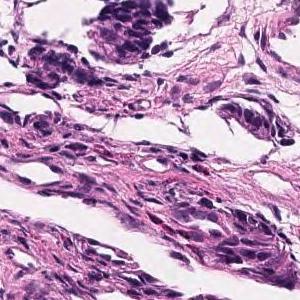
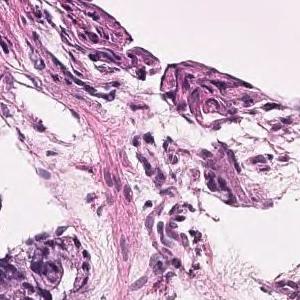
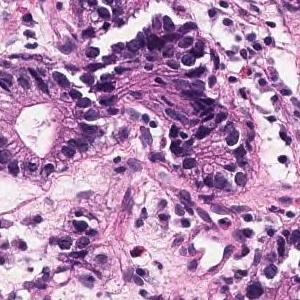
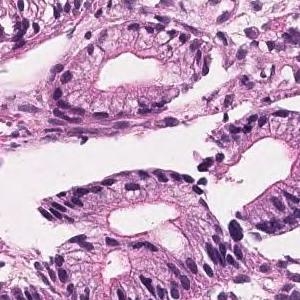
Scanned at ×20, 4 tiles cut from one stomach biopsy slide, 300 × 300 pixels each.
Pathology report for the slide these tiles were cut from. What the report and the diagnosis say applies to the whole slide; these tiles may miss some of the features named and may include tissue that is not tumor.
Tumor tissue in which medium to small irregular ducts infiltrate and proliferate in the submucosa can be seen in the epithelium. Well differentiated tubular adenocarcinoma
